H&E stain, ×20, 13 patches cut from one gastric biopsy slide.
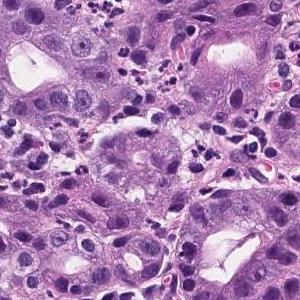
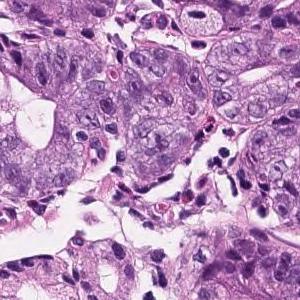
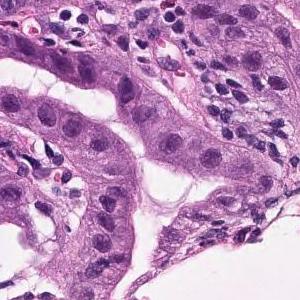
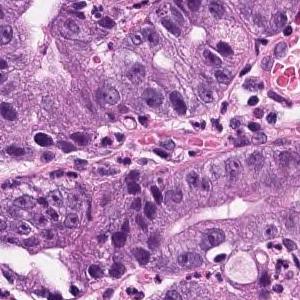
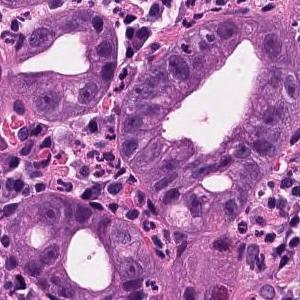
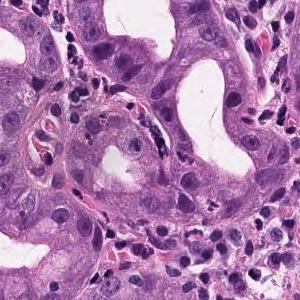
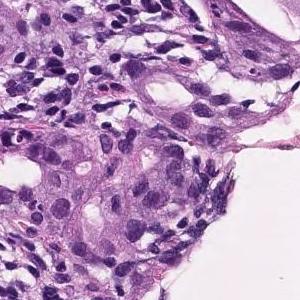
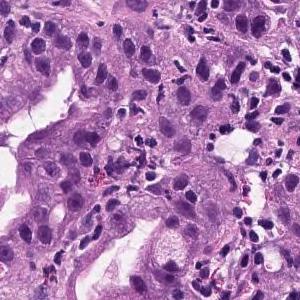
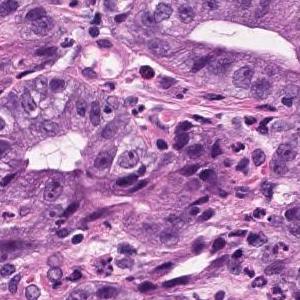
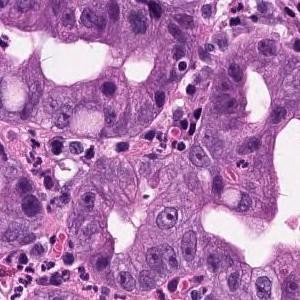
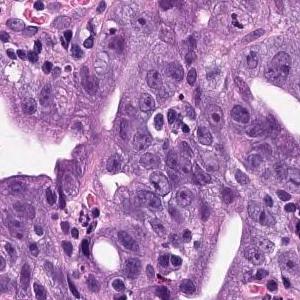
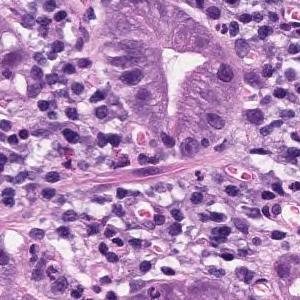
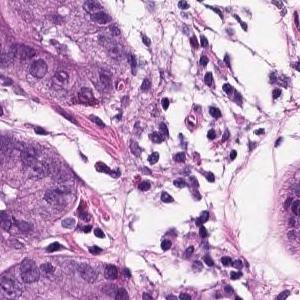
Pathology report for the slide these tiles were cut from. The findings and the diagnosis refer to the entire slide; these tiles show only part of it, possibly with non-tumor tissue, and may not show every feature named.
In the superficial epithelium, tumor tissue that invades by forming medium-sized to small, irregular ducts is observed. Well to moderately differentiated adenocarcinoma (well differentiated tubular adenocarcinoma, moderately differentiated tubular adenocarcinoma).
Tumor subtype: well to moderately differentiated tubular adenocarcinoma.
